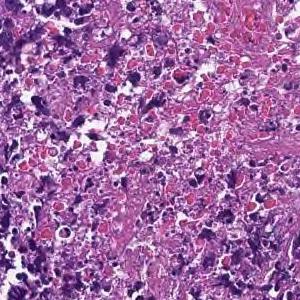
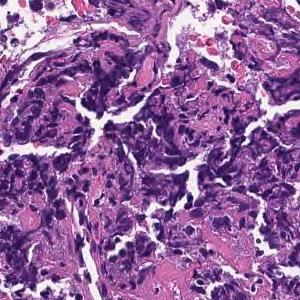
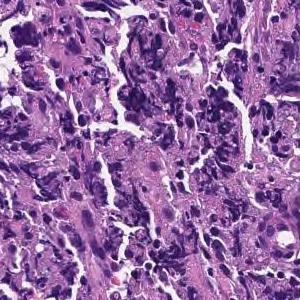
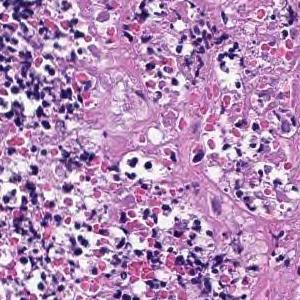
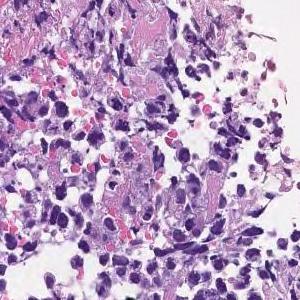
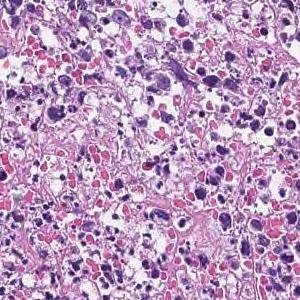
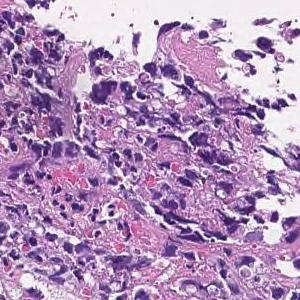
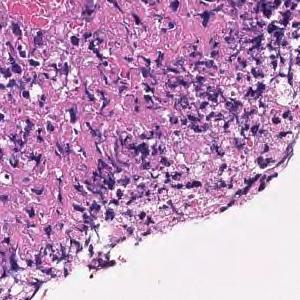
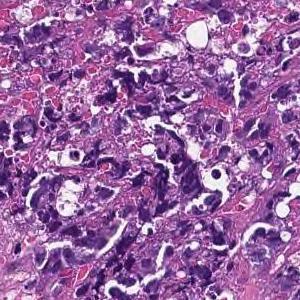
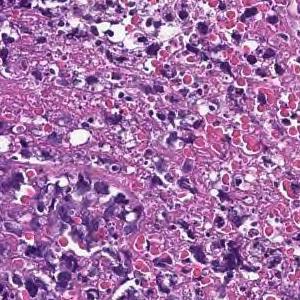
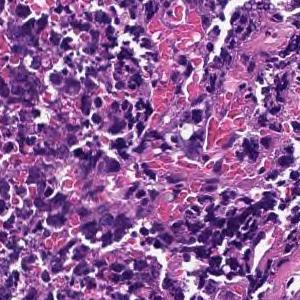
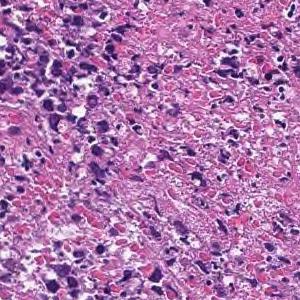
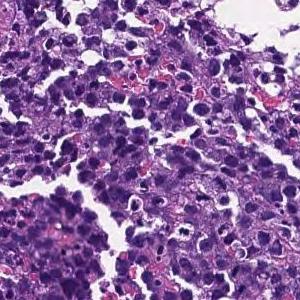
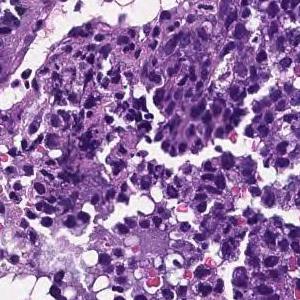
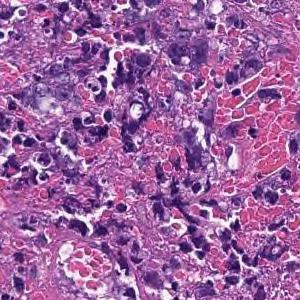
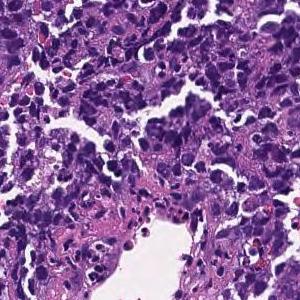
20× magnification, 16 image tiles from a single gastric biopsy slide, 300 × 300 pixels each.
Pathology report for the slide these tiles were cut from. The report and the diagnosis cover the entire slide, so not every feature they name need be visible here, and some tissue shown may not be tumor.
Most are composed of coagulative necrotic tissue, but some show a large sheet-like shape, and some show tumor tissue infiltrating with a small cord-like structure. Poorly differentiated adenocarcinoma, solid-type
Subtype: Poorly differentiated adenocarcinoma, solid type. This name comes from the Japanese Classification of Gastric Carcinoma; the WHO 2019 classification calls it tubular adenocarcinoma, poorly differentiated.
